Scanned at ×20; H&E; 10 patches cut from one gastric biopsy slide.
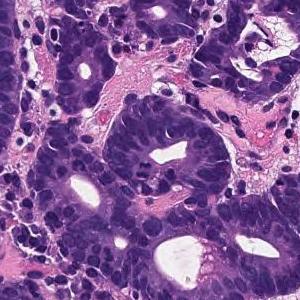
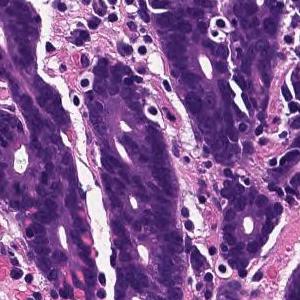
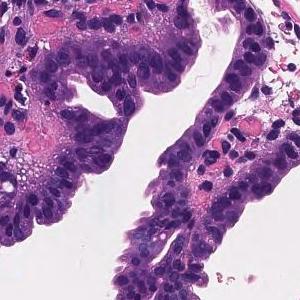
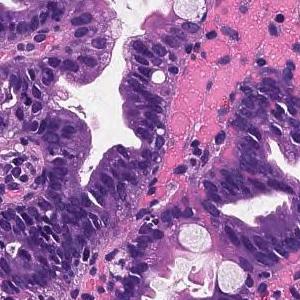
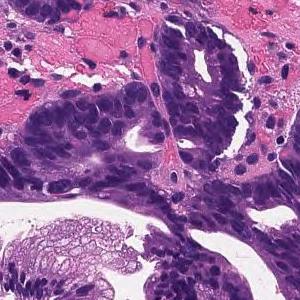
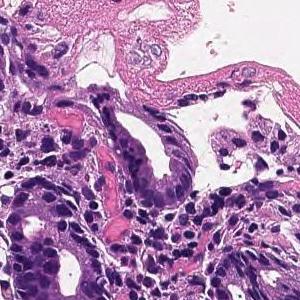
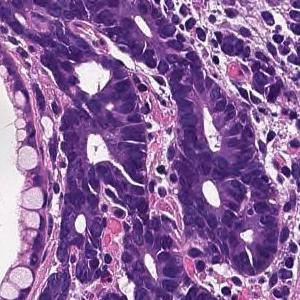
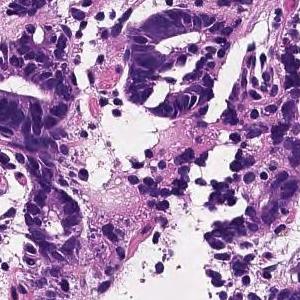
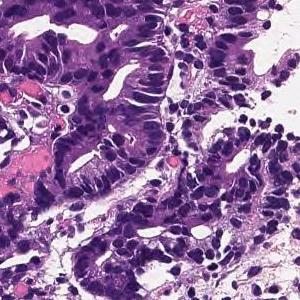
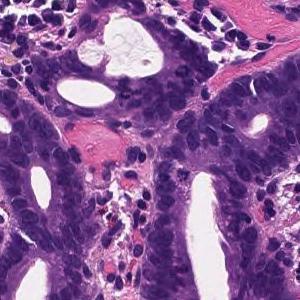
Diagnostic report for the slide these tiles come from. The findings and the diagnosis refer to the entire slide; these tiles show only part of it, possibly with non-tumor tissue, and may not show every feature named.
On the superficial epithelium, tumor tissue is found in which medium-sized irregular gland ducts fuse with each other and infiltrate. moderately differentiated tubular adenocarcinoma
